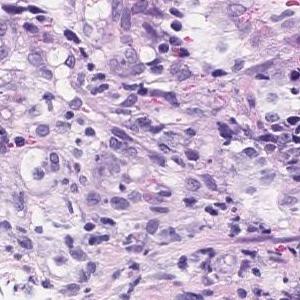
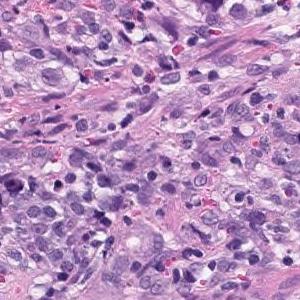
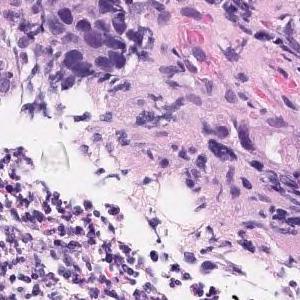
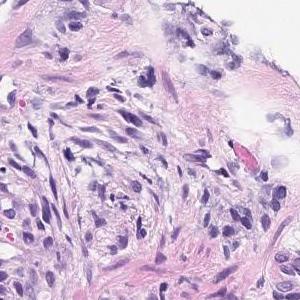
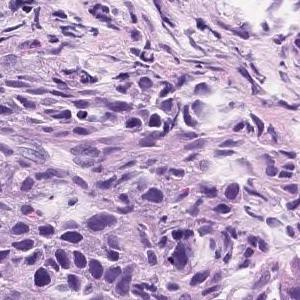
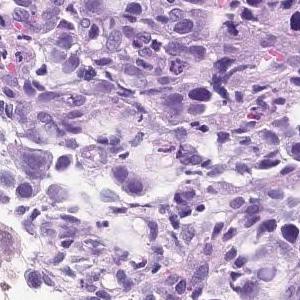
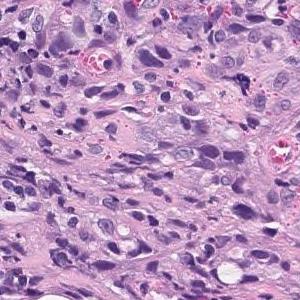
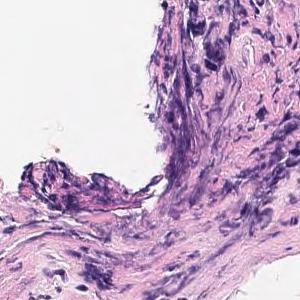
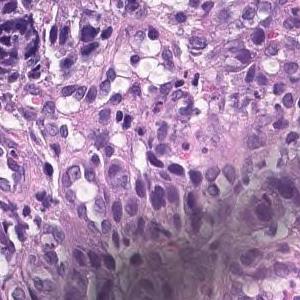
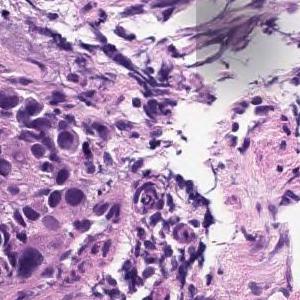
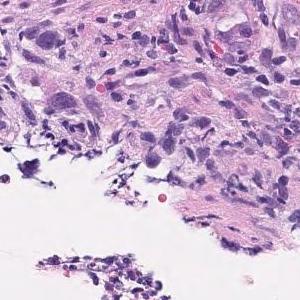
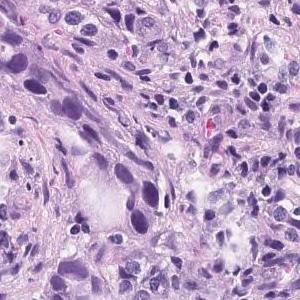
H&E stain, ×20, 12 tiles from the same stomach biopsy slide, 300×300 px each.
Report on the slide these tiles come from. The findings and the diagnosis refer to the entire slide; these tiles show only part of it, possibly with non-tumor tissue, and may not show every feature named.
Group 5, Moderately differentiated adenocarcinoma
Histological subtype: Moderately differentiated tubular adenocarcinoma.
